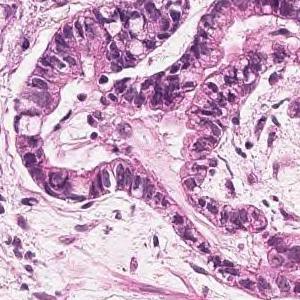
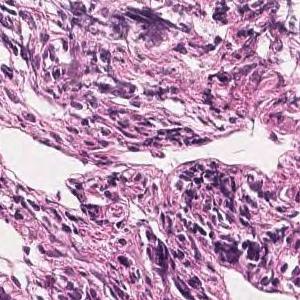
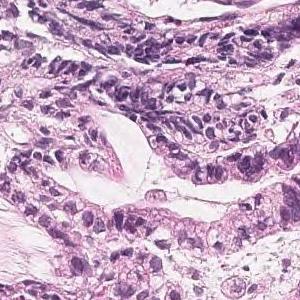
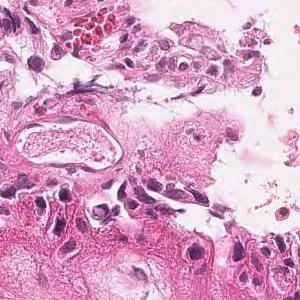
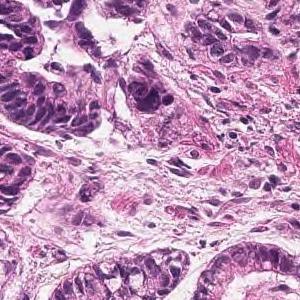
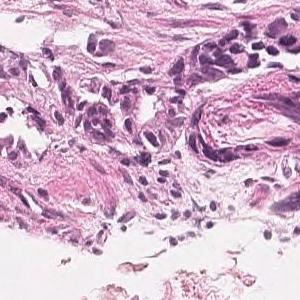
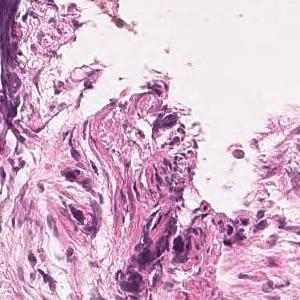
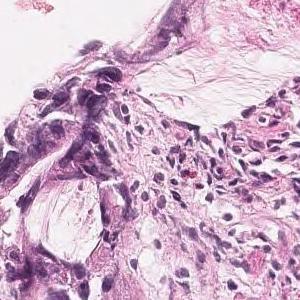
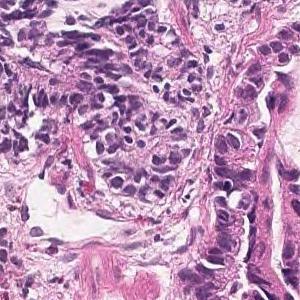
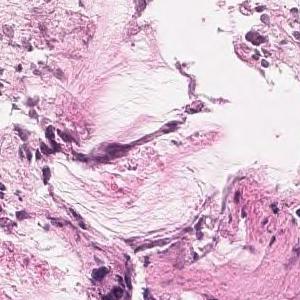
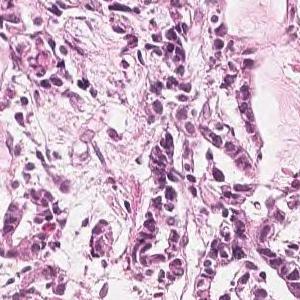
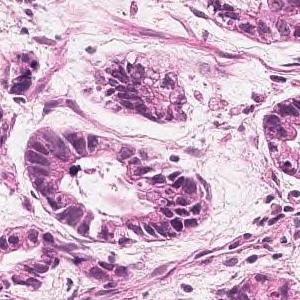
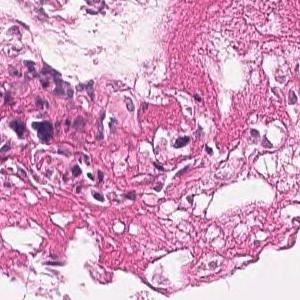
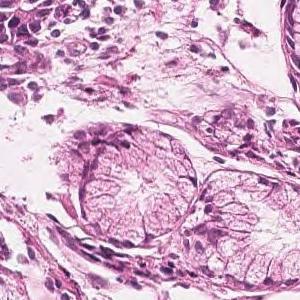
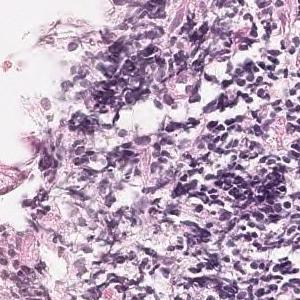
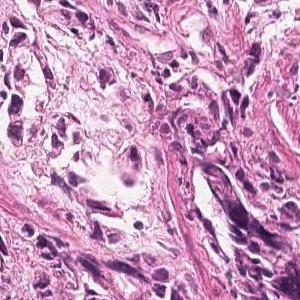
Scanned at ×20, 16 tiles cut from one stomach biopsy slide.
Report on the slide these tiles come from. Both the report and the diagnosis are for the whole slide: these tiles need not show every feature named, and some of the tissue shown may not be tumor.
On the superficial epithelium, tumor tissue consisting of large, irregular glandular ducts partially fused and infiltrated is observed. Well to moderately differentiated tubular adenocarcinoma (well differentiated tubular adenocarcinoma, moderately differentiated tubular adenocarcinoma)
Classified as well to moderately differentiated tubular adenocarcinoma.
